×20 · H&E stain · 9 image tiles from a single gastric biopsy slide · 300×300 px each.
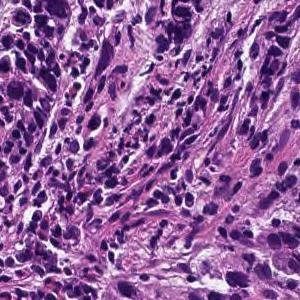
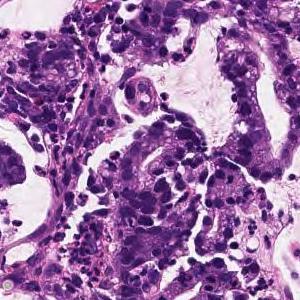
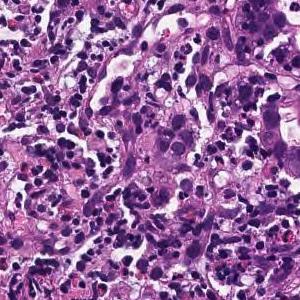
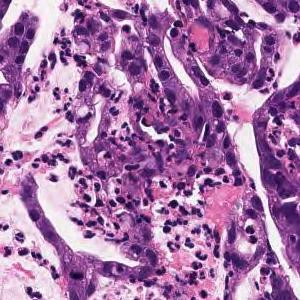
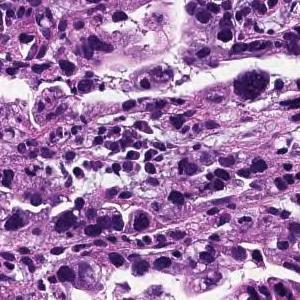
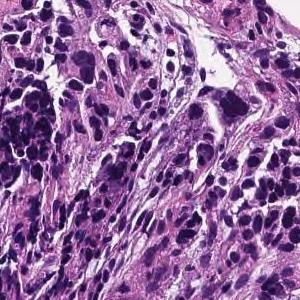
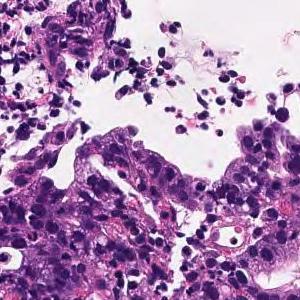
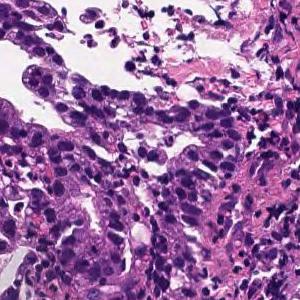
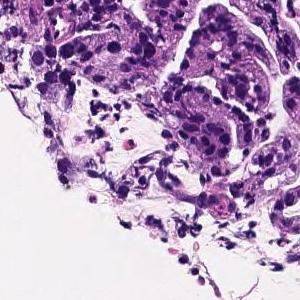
Diagnostic report for the slide these tiles come from. The findings and the diagnosis refer to the entire slide; these tiles show only part of it, possibly with non-tumor tissue, and may not show every feature named.
On the superficial epithelium, tumor tissue consisting of large, irregular glandular ducts partially fused and infiltrated is observed. Well to moderately differentiated tubular adenocarcinoma (well differentiated tubular adenocarcinoma, moderately differentiated tubular adenocarcinoma)
Tumor subtype: well to moderately differentiated tubular adenocarcinoma.
